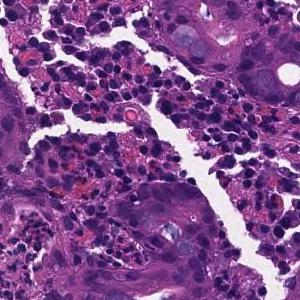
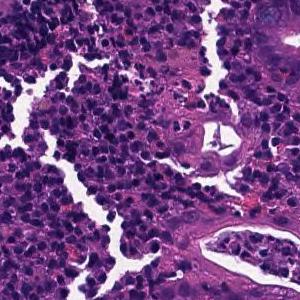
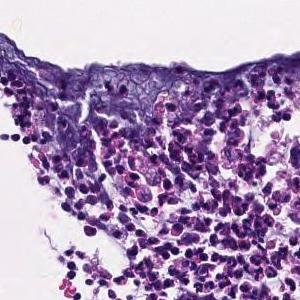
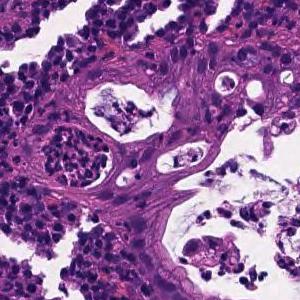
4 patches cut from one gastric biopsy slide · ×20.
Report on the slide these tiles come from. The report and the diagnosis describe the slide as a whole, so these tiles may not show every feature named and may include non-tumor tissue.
In the superficial epithelium, tumor tissue that invades by forming medium-sized to small, irregular ducts is observed. moderately differentiated tubular adenocarcinoma.
